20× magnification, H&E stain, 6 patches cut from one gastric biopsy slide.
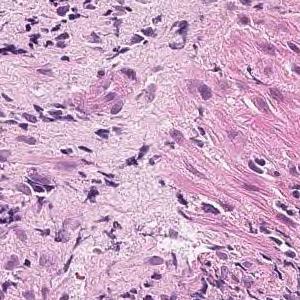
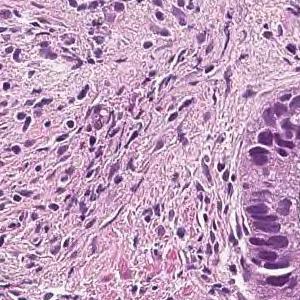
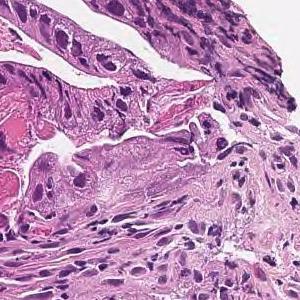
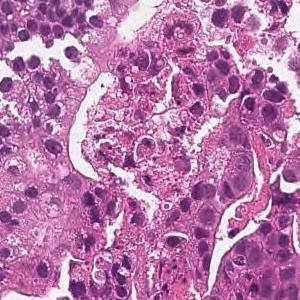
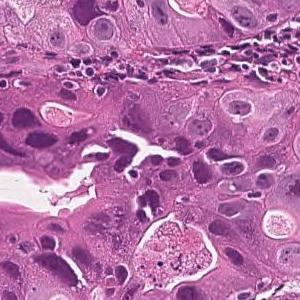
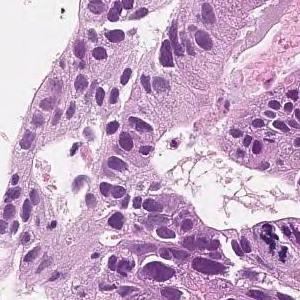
The pathologist's report on the biopsy slide these tiles were taken from. The report and the diagnosis cover the entire slide, so not every feature they name need be visible here, and some tissue shown may not be tumor.
In the superficial epithelium, tumor tissue that invades by forming medium-sized to small, irregular ducts is observed. moderately differentiated tubular adenocarcinoma.
